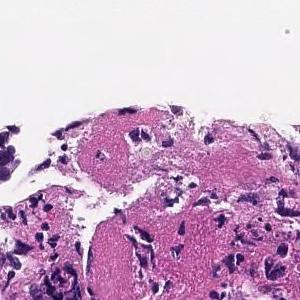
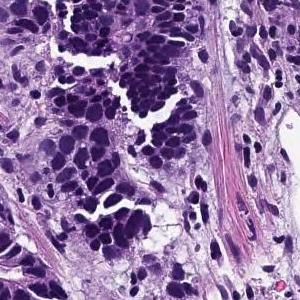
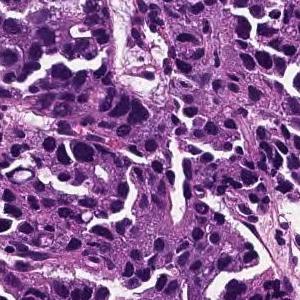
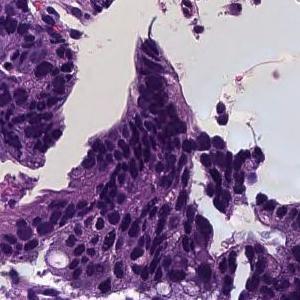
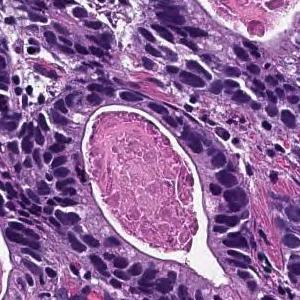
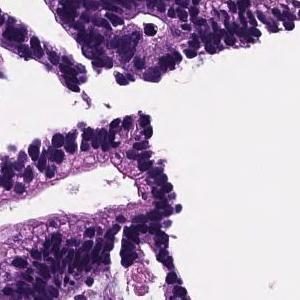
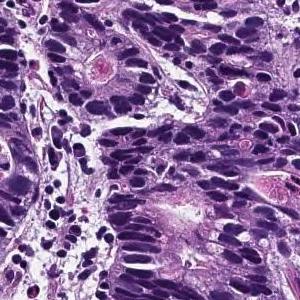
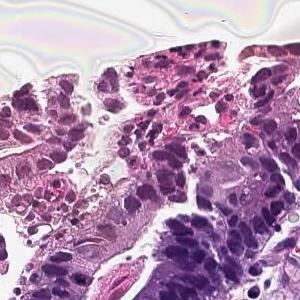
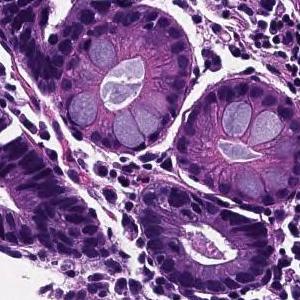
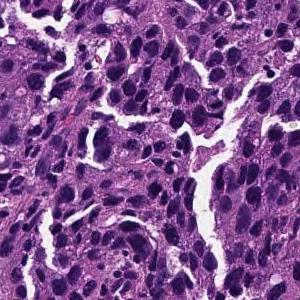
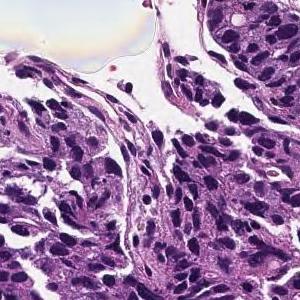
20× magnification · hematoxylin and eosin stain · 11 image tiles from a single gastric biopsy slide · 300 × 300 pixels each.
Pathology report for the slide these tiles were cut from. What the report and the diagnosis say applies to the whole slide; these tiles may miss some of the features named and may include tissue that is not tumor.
From the superficial epithelium to the muscularis mucosae, tumor tissue consisting of medium-sized and irregular glandular ducts infiltrating is observed. Well differentiated tubular adenocarcinoma
